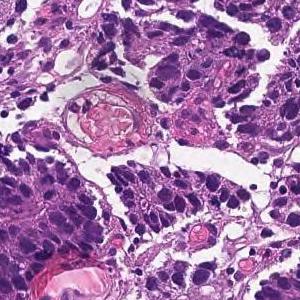
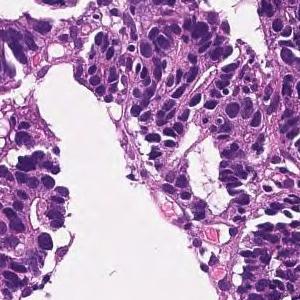
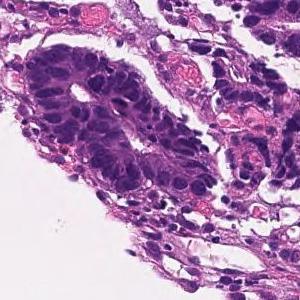
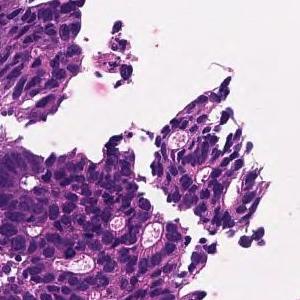
H&E · ×20 · 4 patches cut from one gastric biopsy slide.
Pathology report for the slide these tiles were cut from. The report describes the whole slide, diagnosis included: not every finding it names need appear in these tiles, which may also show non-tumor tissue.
In the superficial epithelium, tumor tissue that invades by forming medium-sized to small, irregular ducts is observed. Moderately differentiated adenocarcinoma (moderately differentiated tubular adenocarcinoma).
Subtype: Moderately differentiated tubular adenocarcinoma.
